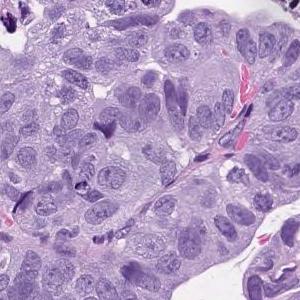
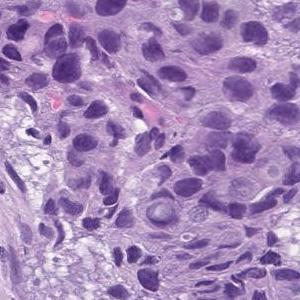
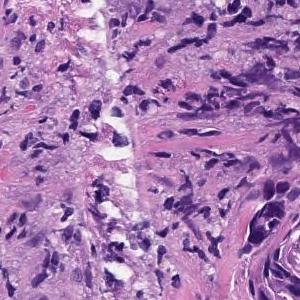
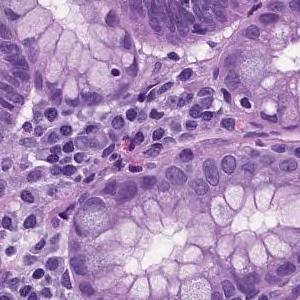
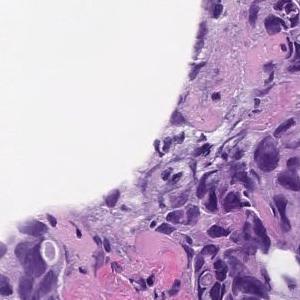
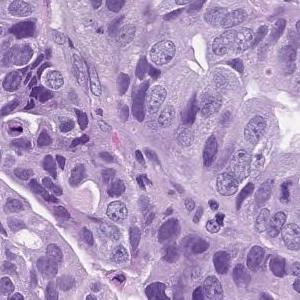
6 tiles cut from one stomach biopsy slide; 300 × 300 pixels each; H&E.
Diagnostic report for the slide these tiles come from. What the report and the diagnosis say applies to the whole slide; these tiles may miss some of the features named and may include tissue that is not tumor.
In the superficial epithelium, tumor tissue that invades by forming medium-sized to small, irregular ducts is observed. moderately differentiated tubular adenocarcinoma.
